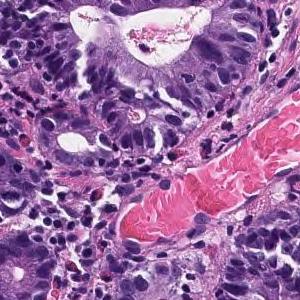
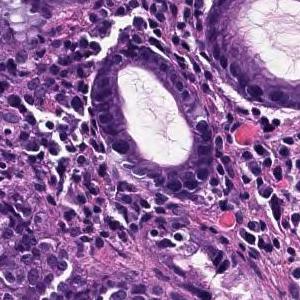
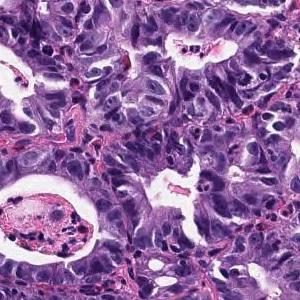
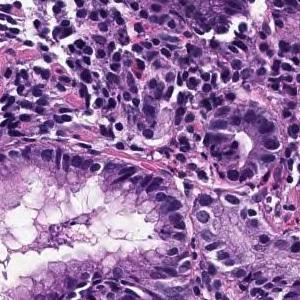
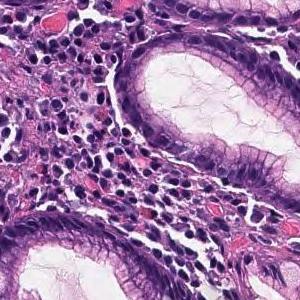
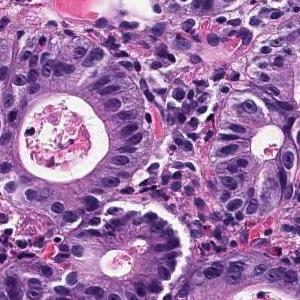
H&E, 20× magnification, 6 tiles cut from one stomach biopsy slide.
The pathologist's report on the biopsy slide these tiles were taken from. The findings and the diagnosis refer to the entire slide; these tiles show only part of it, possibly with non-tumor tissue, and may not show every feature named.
Tumor tissue consisting of medium-sized and irregular ducts is observed infiltrating in the superficial epithelium. Tumor cells are highly columnar, with nuclei aligned basolaterally and polarized. Well differentiated tubular adenocarcinoma.
